×20; H&E; 10 tiles from the same stomach biopsy slide.
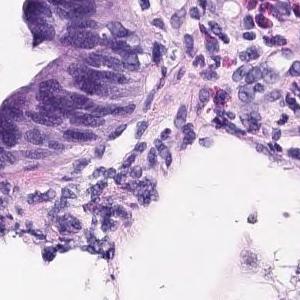
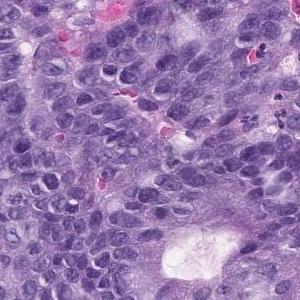
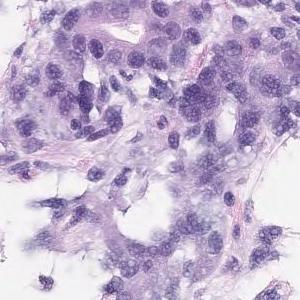
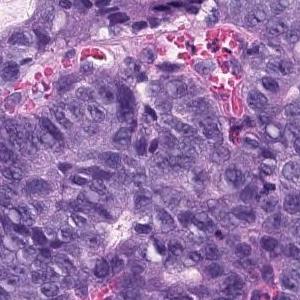
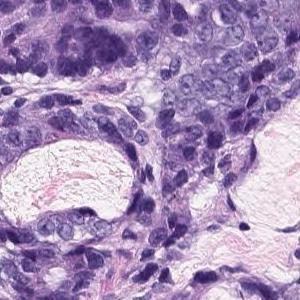
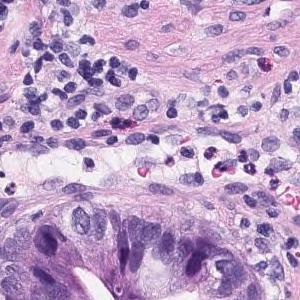
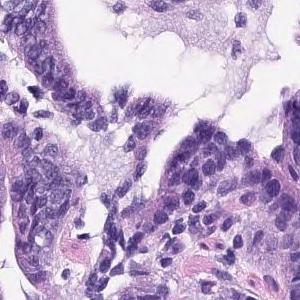
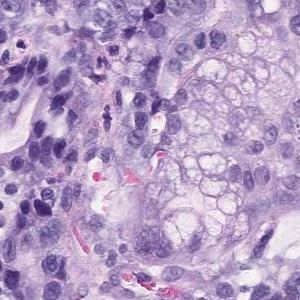
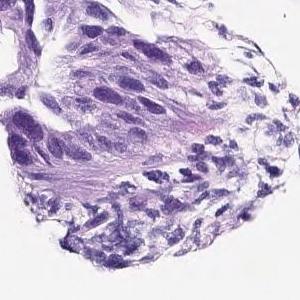
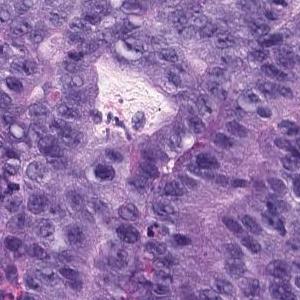
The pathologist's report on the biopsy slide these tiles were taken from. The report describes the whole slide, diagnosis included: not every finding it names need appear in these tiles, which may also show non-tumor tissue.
In the superficial epithelium, tumor tissue that invades by forming medium-sized to small, irregular ducts is observed. Well to moderately differentiated tubular adenocarcinoma.
